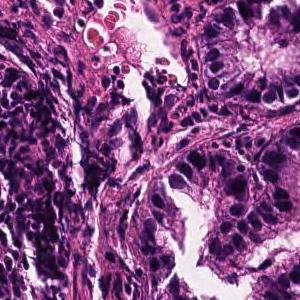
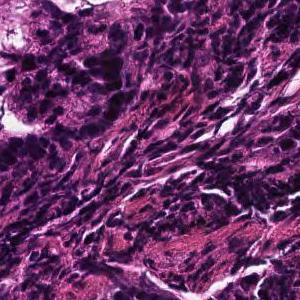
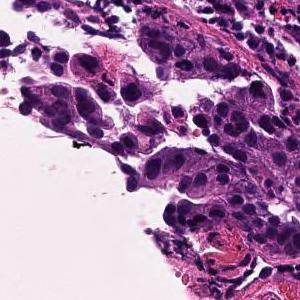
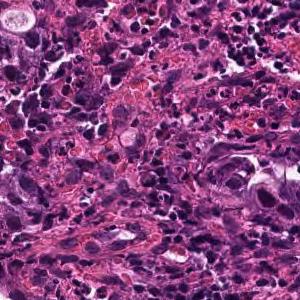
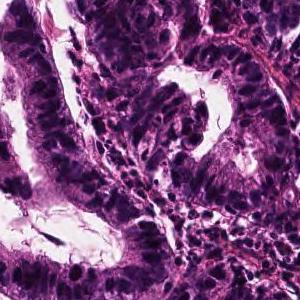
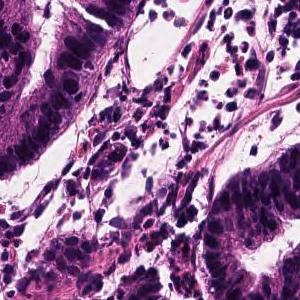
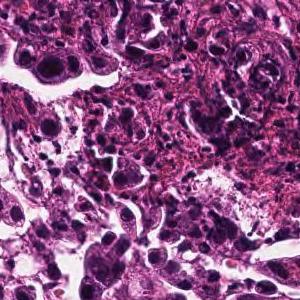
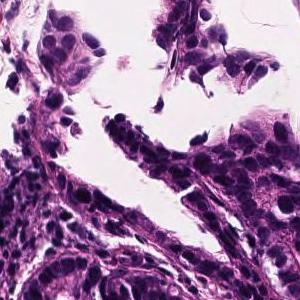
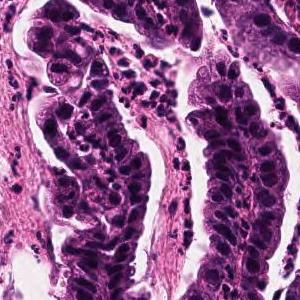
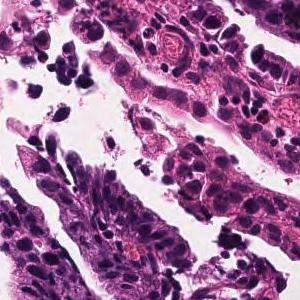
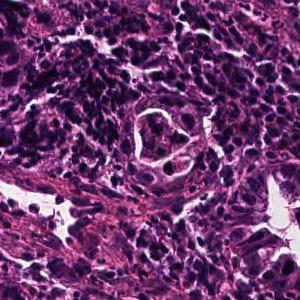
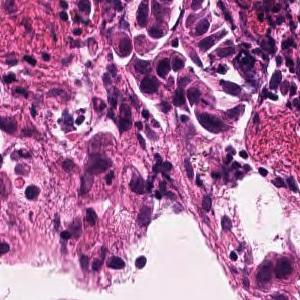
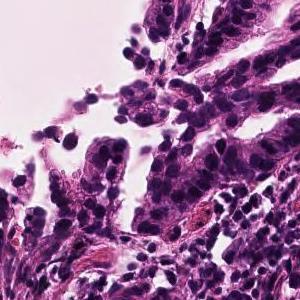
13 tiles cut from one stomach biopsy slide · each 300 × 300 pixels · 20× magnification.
Pathology report for the biopsy slide these tiles were cut from. What the report and the diagnosis say applies to the whole slide; these tiles may miss some of the features named and may include tissue that is not tumor.
Tumor tissue consisting of large papillary structures is found in the superficial epithelium. Papillary adenocarcinoma.
